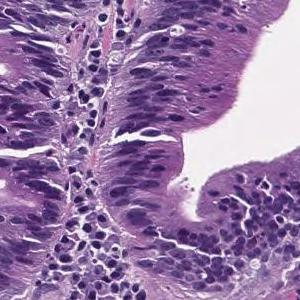
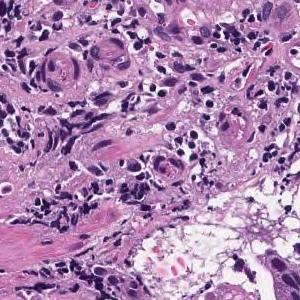
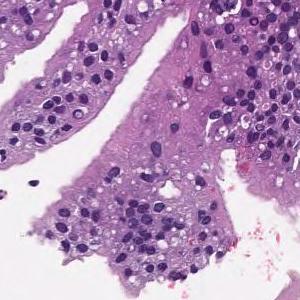
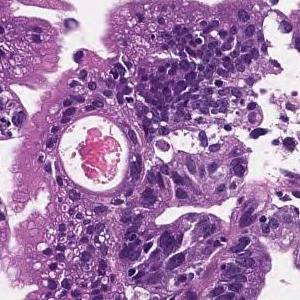
4 image tiles from a single gastric biopsy slide, 20× magnification, H&E stain.
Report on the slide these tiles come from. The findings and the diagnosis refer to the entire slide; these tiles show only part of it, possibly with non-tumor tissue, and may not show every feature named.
Tumor cells are large, highly columnar, large club-shaped nuclei, and are associated with chromatin aggregation. Papillary adenocarcinoma.
